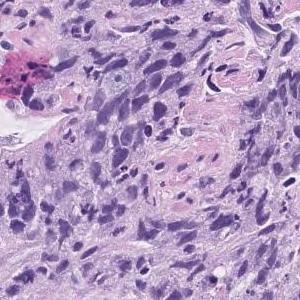
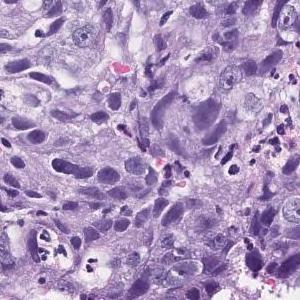
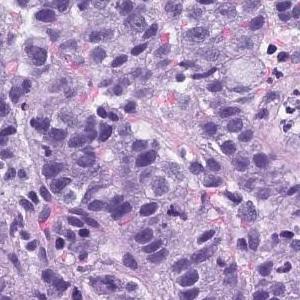
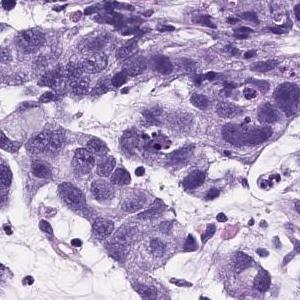
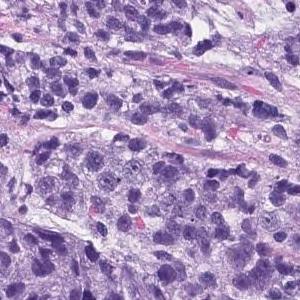
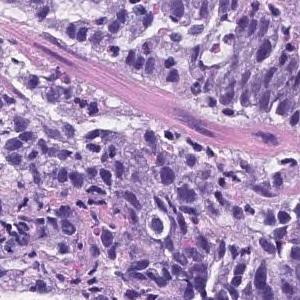
6 image tiles from a single gastric biopsy slide · each 300 × 300 pixels · scanned at ×20.
The pathologist's report on the biopsy slide these tiles were taken from. The findings and the diagnosis refer to the entire slide; these tiles show only part of it, possibly with non-tumor tissue, and may not show every feature named.
Atypical l cells with atypical nuclei forming solid vesicles or small irregular atypical ducts that proliferate in a complex manner. poorly differentiated adenocarcinoma, solid type, moderately differentiated tubular adenocarcinoma
The solid type named here is a Japanese Classification of Gastric Carcinoma category; WHO 2019 calls it tubular adenocarcinoma, poorly differentiated.
